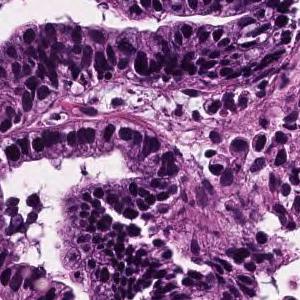
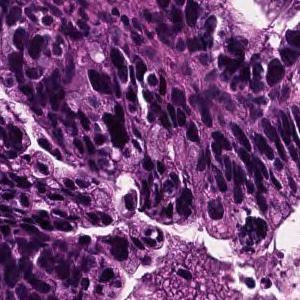
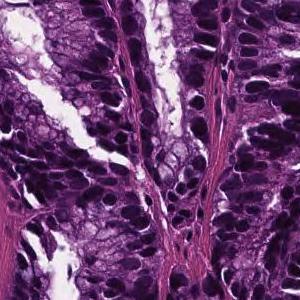
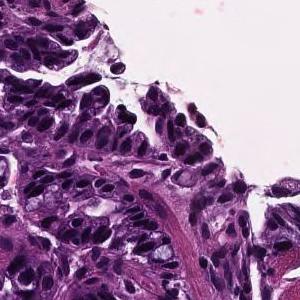
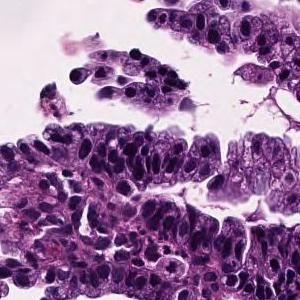
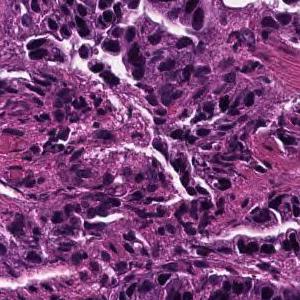
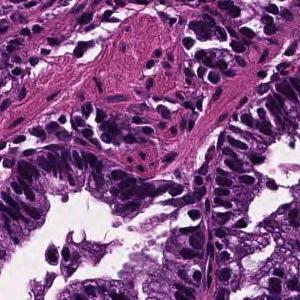
20× magnification · 7 image tiles from a single gastric biopsy slide.
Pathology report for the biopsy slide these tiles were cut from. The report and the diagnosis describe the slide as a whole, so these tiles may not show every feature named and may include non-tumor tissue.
In the superficial epithelium, tumor tissue that invades by forming medium-sized to small, irregular ducts is observed. Well differentiated tubular adenocarcinoma.
